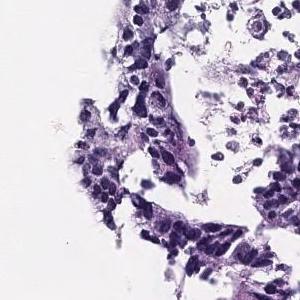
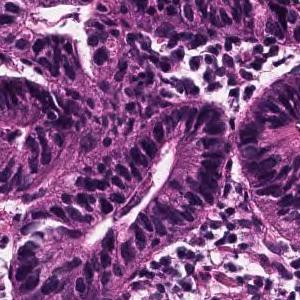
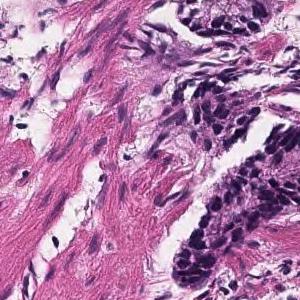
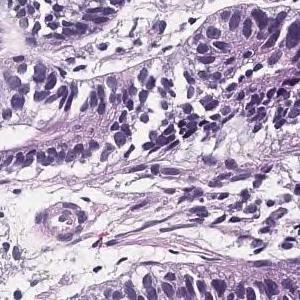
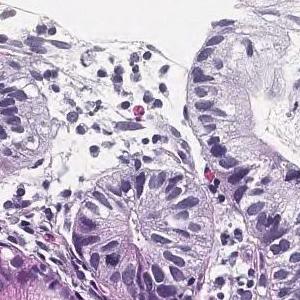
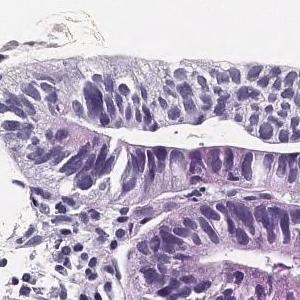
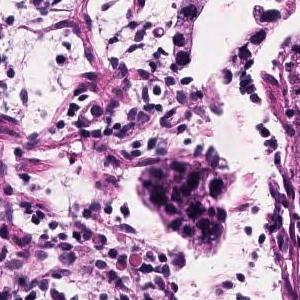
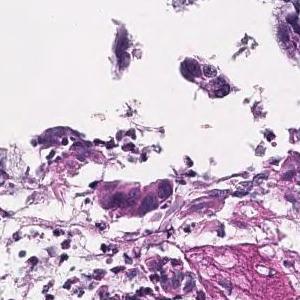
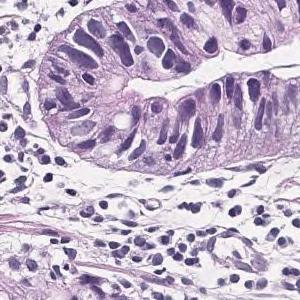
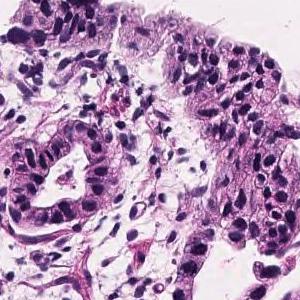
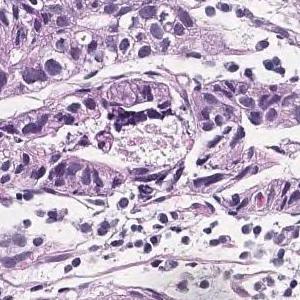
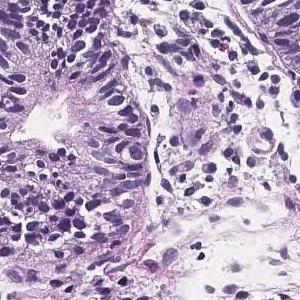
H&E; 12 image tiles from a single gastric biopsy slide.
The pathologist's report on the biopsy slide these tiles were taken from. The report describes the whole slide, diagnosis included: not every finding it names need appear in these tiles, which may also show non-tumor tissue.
Tumor cells are large, highly columnar, large club-shaped nuclei, and are associated with chromatin aggregation. Papillary adenocarcinoma.
